H&E, 4 patches cut from one gastric biopsy slide.
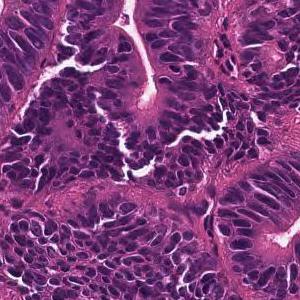
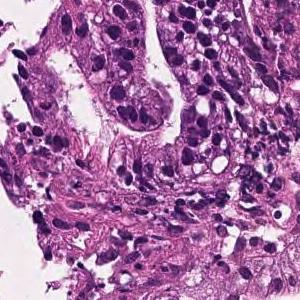
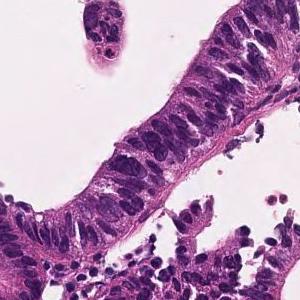
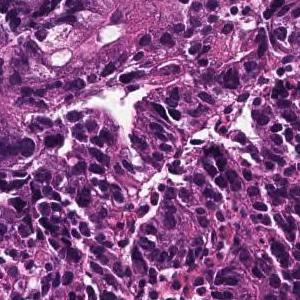
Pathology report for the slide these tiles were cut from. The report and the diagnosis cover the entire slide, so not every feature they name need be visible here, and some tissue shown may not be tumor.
A large irregular tubular structure is exhibited in the epithelium, and tumor tissue that partially fuses and infiltrates and proliferates is observed. Large columnar tumor cells exhibit enlarged nucleus, hyperchromatism, and mitotic figures. Well differentiated tubular adenocarcinoma
